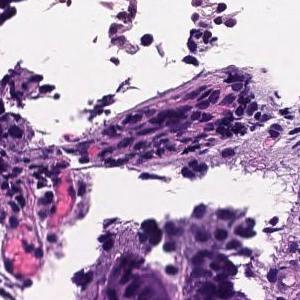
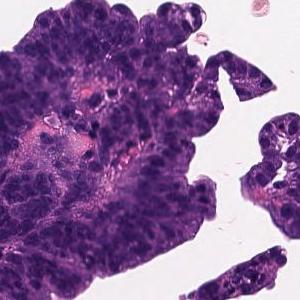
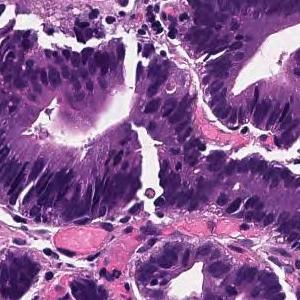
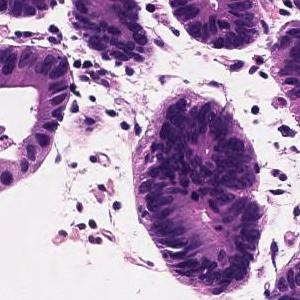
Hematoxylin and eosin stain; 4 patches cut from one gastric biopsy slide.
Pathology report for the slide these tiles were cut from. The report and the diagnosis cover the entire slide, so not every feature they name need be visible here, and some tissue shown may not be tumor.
Tumor tissue consisting of large papillary structures is found in the superficial epithelium. Papillary adenocarcinoma.
